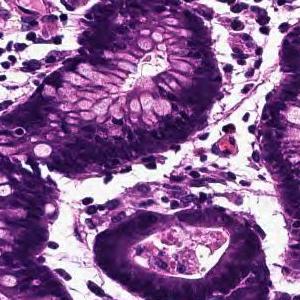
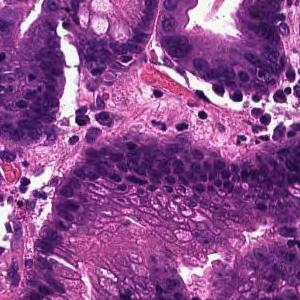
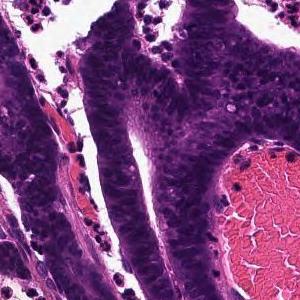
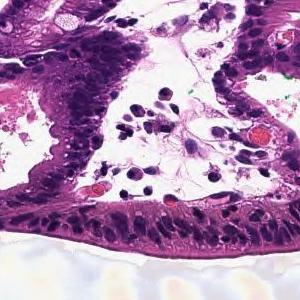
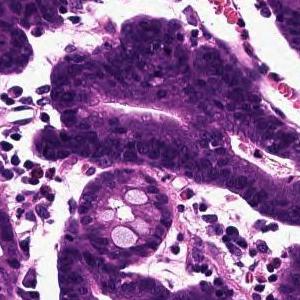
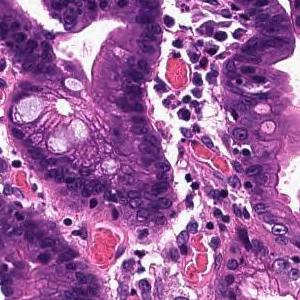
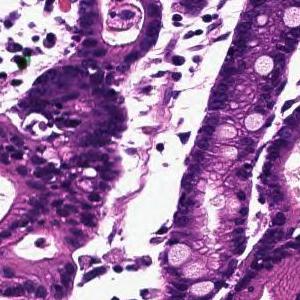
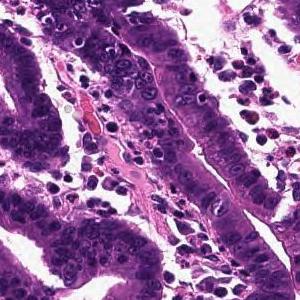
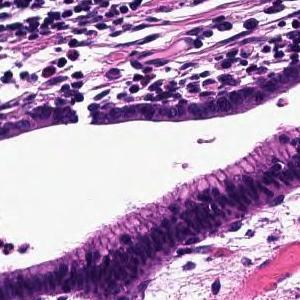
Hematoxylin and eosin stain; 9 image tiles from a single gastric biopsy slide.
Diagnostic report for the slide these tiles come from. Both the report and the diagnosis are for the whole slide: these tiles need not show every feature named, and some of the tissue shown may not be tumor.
Tumor tissue that infiltrates by forming large papillary or large irregular glandular ducts is observed confined to the mucosa. Papillary adenocarcinoma
